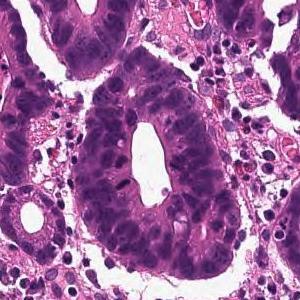
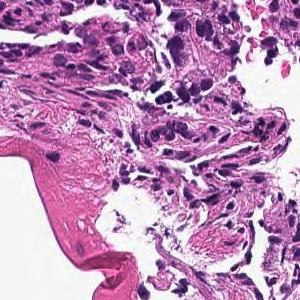
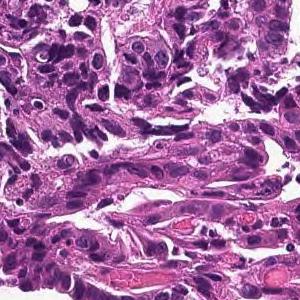
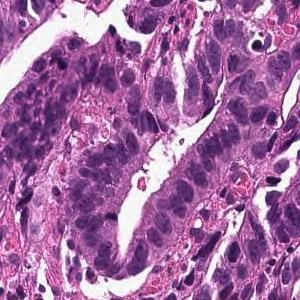
4 image tiles from a single gastric biopsy slide, each 300 × 300 pixels, H&E, ×20.
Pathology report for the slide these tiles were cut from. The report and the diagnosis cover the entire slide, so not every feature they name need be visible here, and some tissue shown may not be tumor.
On the superficial epithelium, tumor tissue consisting of large, irregular glandular ducts partially fused and infiltrated is observed. Well to moderately differentiated tubular adenocarcinoma (well differentiated tubular adenocarcinoma, moderately differentiated tubular adenocarcinoma)
Histologic type: Well to moderately differentiated tubular adenocarcinoma.
